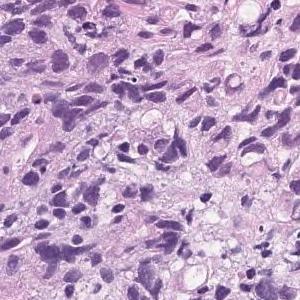
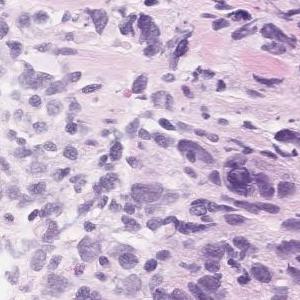
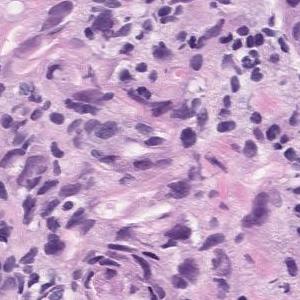
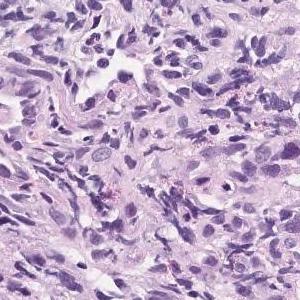
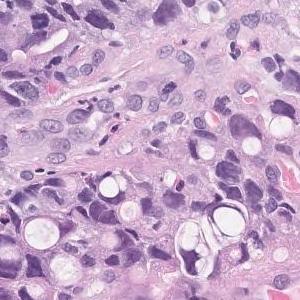
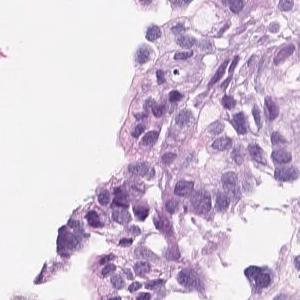
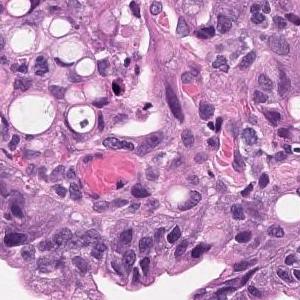
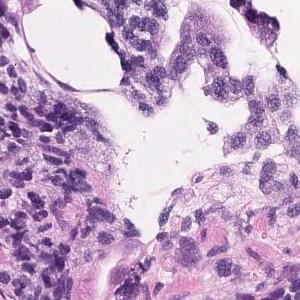
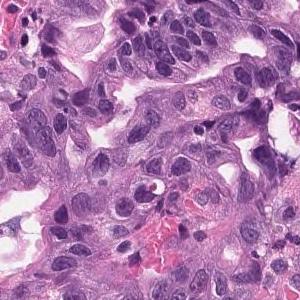
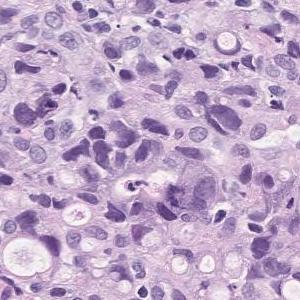
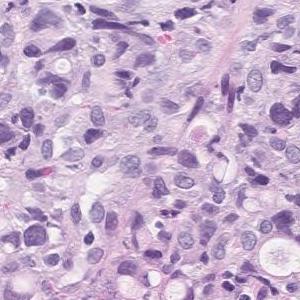
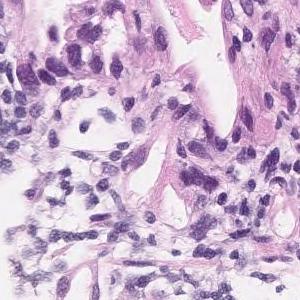
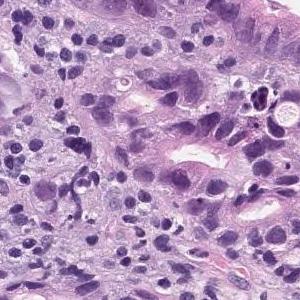
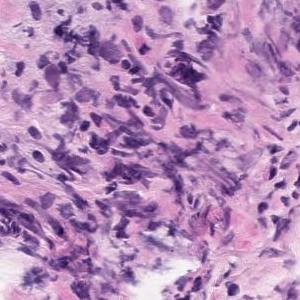
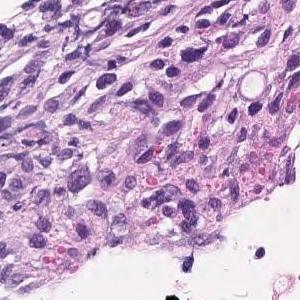
15 image tiles from a single gastric biopsy slide; each 300 × 300 pixels; 20× magnification; H&E stain.
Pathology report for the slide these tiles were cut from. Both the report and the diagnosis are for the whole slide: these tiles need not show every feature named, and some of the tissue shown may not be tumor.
Tumor tissue consisting of medium-sized, cord-like or irregular glandular infiltration is observed in the superficial epithelium. Poorly differentiated adenocarcinoma, non-solid type or moderately differentiated tubular adenocarcinoma
Dataset label: poorly differentiated adenocarcinoma, non-solid type.
"Non-solid type" is a category of the Japanese Classification of Gastric Carcinoma.
